H&E; 15 tiles from the same stomach biopsy slide; 300 × 300 pixels each.
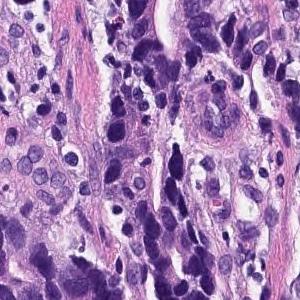
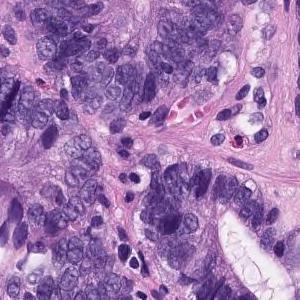
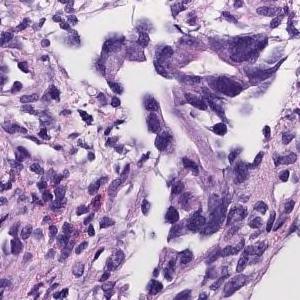
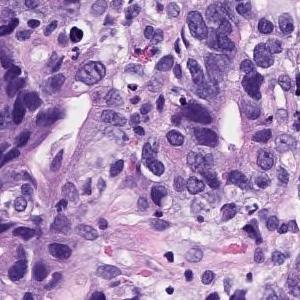
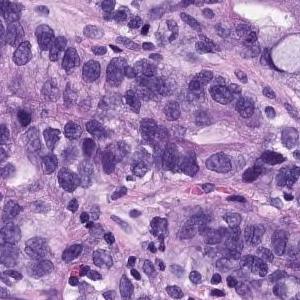
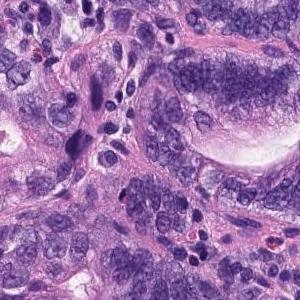
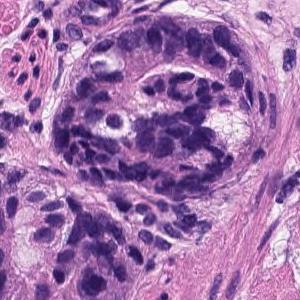
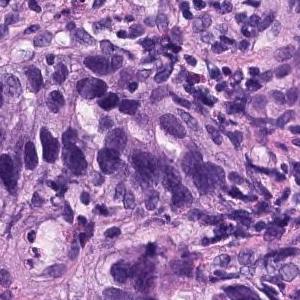
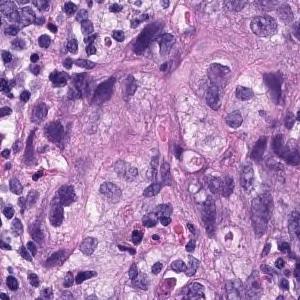
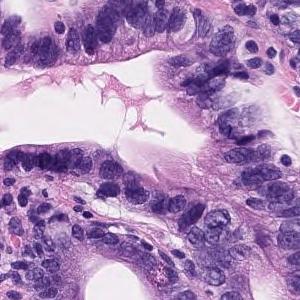
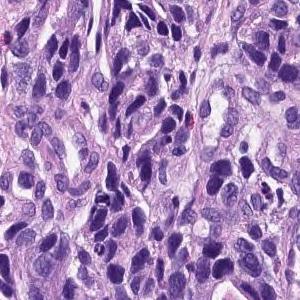
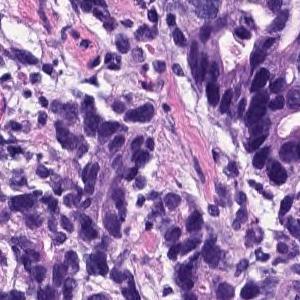
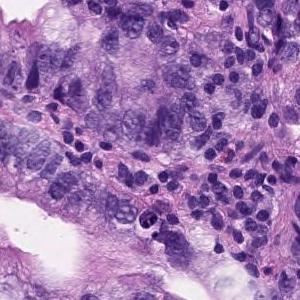
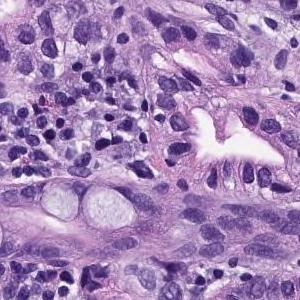
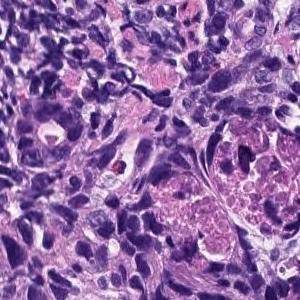
Pathology report for the slide these tiles were cut from. What the report and the diagnosis say applies to the whole slide; these tiles may miss some of the features named and may include tissue that is not tumor.
On the superficial epithelium, tumor tissue consisting of images showing invasive growth with small, irregular tubules partially fused is observed. moderately differentiated tubular adenocarcinoma
